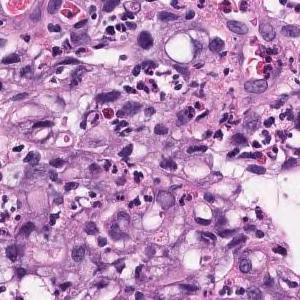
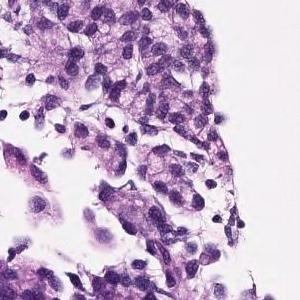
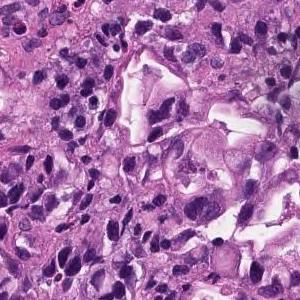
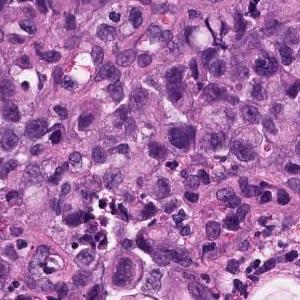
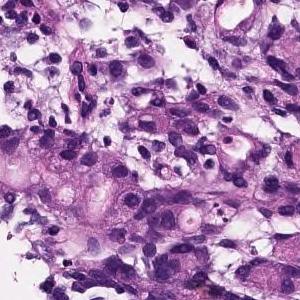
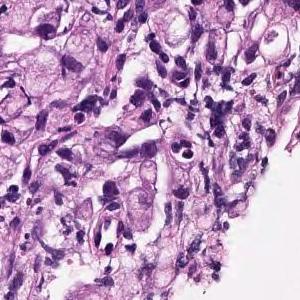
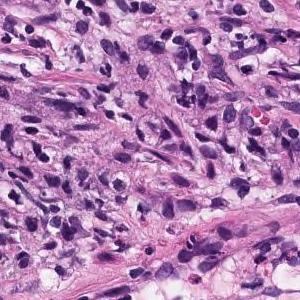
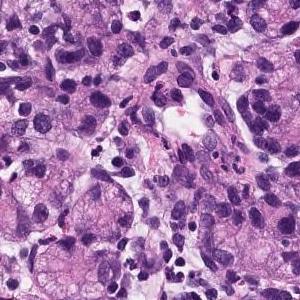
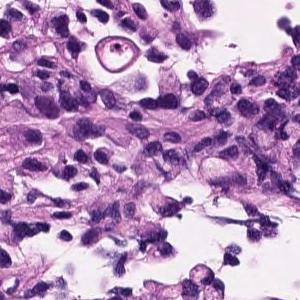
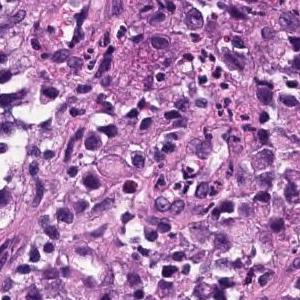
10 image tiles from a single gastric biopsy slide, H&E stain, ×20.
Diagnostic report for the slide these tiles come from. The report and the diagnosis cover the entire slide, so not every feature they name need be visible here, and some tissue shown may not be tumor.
Atypical epithelium forms irregularly fused gland ducts and proliferates. Poorly differentiated adenocarcinoma.
Histologic type: Poorly differentiated adenocarcinoma, non-solid type.
The term "non-solid type" comes from the Japanese Classification of Gastric Carcinoma.
